Scanned at ×20, H&E stain, 7 tiles cut from one stomach biopsy slide.
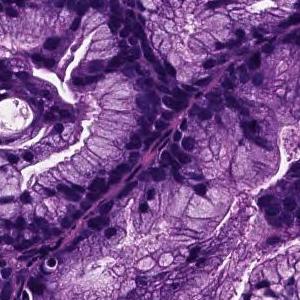
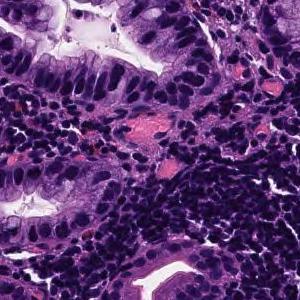
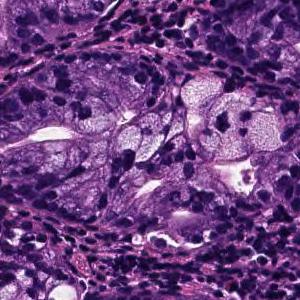
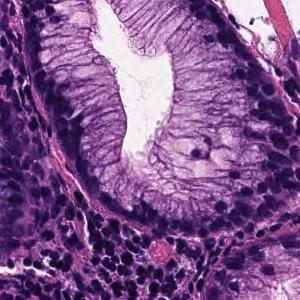
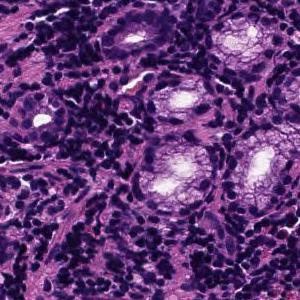
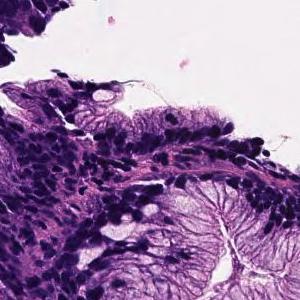
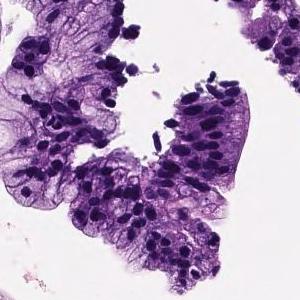
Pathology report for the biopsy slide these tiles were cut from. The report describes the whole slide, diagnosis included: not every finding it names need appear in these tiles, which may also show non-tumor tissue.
On the superficial epithelium, tumor tissue that infiltrates by forming medium-sized papillary or small irregular ducts is observed. Papillary adenocarcinoma
